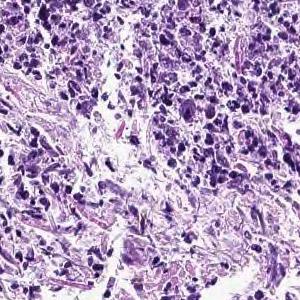
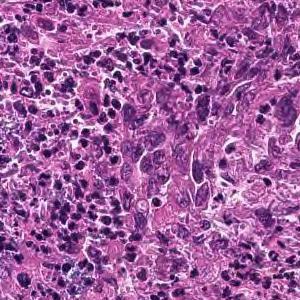
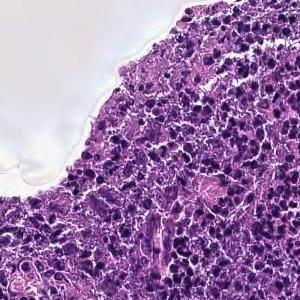
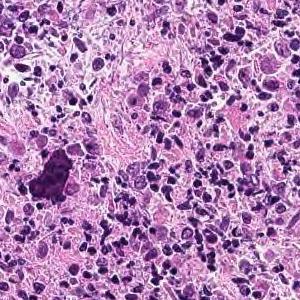
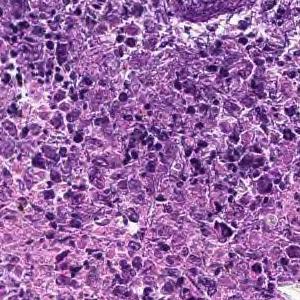
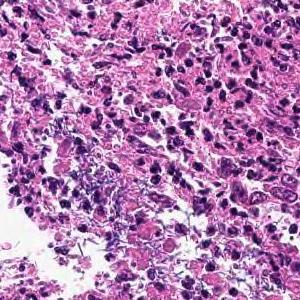
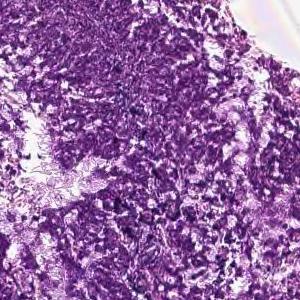
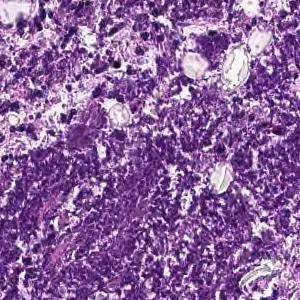
Hematoxylin and eosin stain · 8 patches cut from one gastric biopsy slide.
Pathology report for the slide these tiles were cut from. The report and the diagnosis cover the entire slide, so not every feature they name need be visible here, and some tissue shown may not be tumor.
Cancers with polygonal nuclei do not show glandular formation and are densely, in part, cord-like and proliferate. Poorly differentiated adenocarcinoma
Histological subtype: Poorly differentiated adenocarcinoma, non-solid type.
"Non-solid type" is a category of the Japanese Classification of Gastric Carcinoma.
